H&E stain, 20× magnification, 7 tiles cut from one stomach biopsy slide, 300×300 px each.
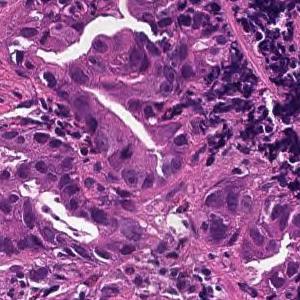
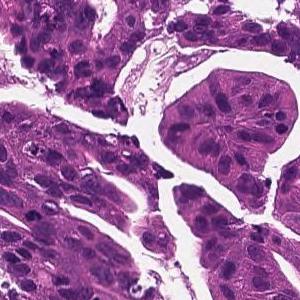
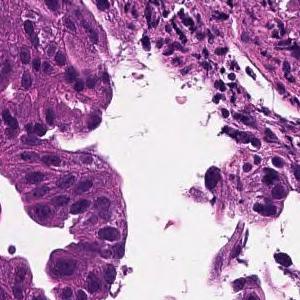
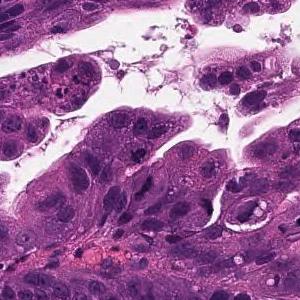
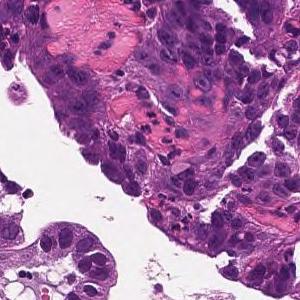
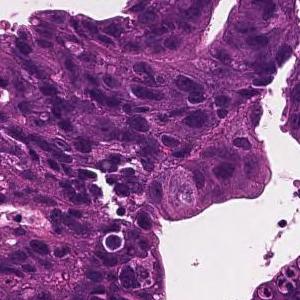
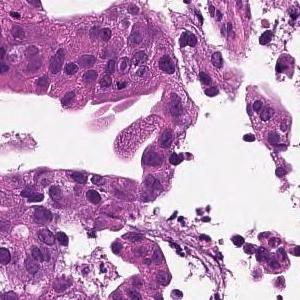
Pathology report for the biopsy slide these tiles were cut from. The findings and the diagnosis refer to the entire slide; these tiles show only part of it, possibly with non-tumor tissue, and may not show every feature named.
On the superficial epithelium, tumor tissue is found in which medium-sized irregular gland ducts fuse with each other and infiltrate. moderately differentiated tubular adenocarcinoma
